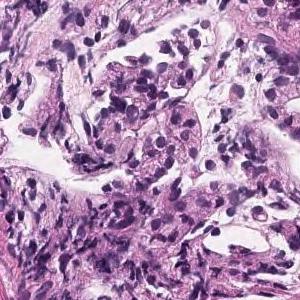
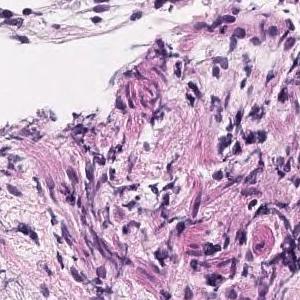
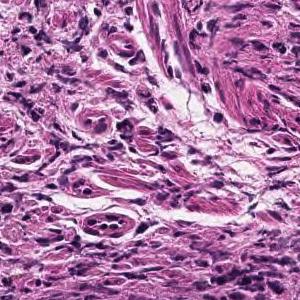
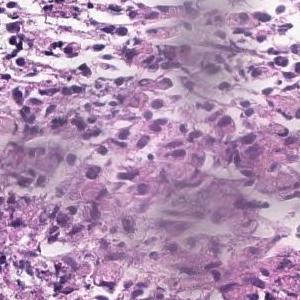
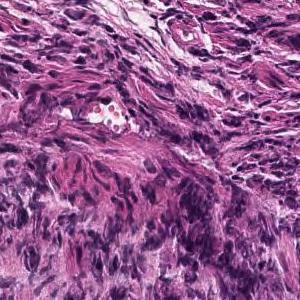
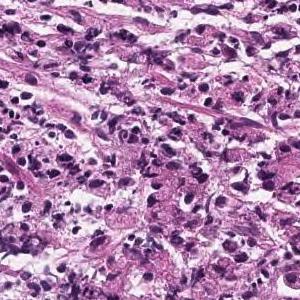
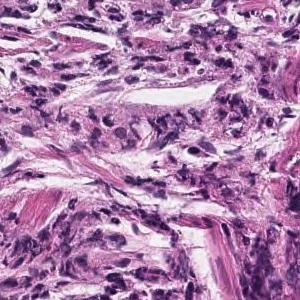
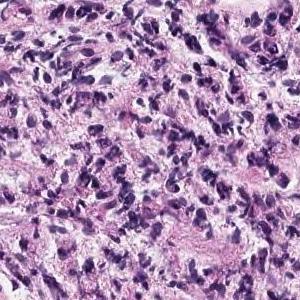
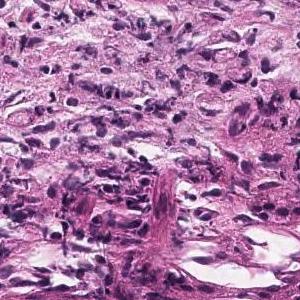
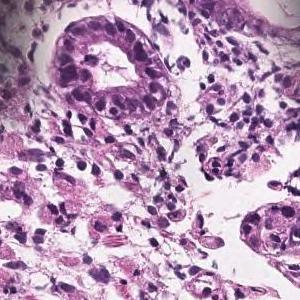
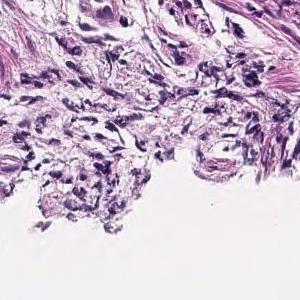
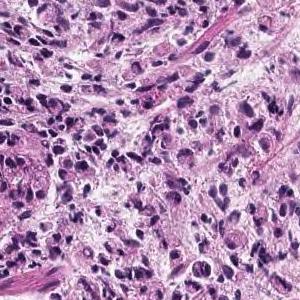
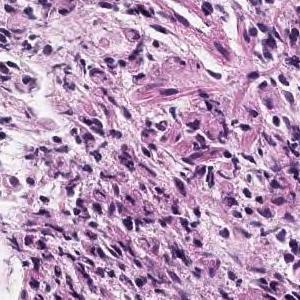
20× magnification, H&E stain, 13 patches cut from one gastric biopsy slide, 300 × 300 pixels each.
Pathology report for the biopsy slide these tiles were cut from. What the report and the diagnosis say applies to the whole slide; these tiles may miss some of the features named and may include tissue that is not tumor.
In the lamina propria, a tumor tissue consisting of signet ring cell type atypical epithelial cells infiltrating is observed. Signet ring cell carcinoma.
